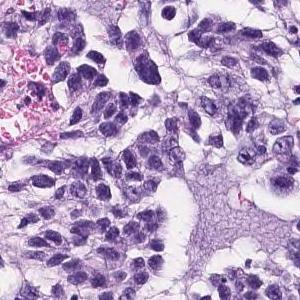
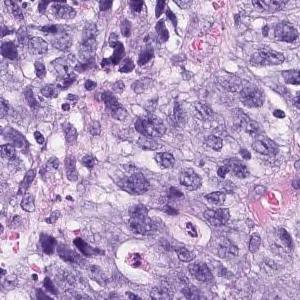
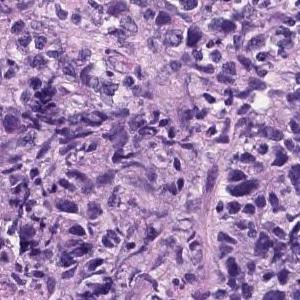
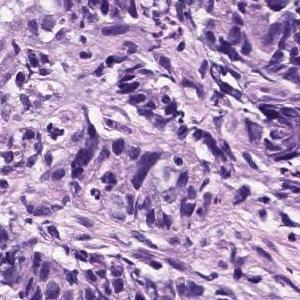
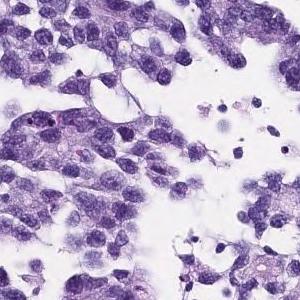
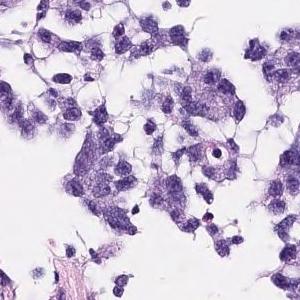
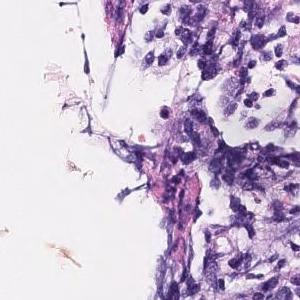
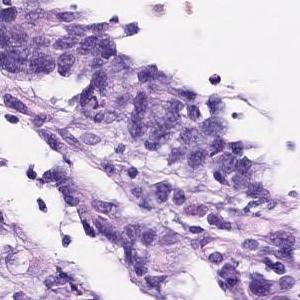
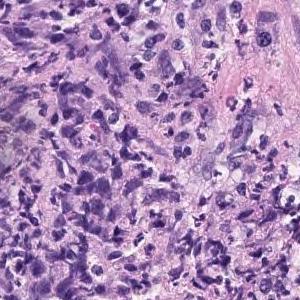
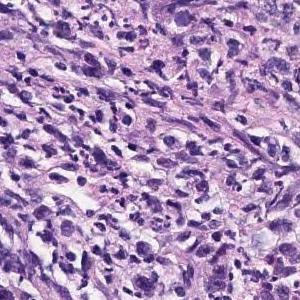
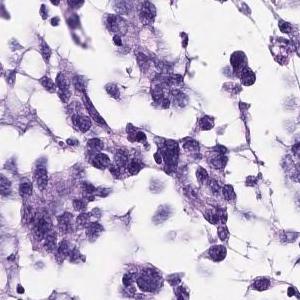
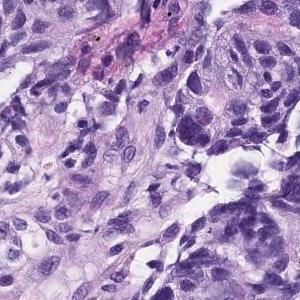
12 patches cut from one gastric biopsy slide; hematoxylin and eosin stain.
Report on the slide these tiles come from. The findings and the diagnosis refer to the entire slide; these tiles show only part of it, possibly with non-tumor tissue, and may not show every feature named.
The superficial epithelium shows a large sheet-like shape, and some tumor tissue infiltrates with small irregular ducts. Poorly differentiated adenocarcinoma, solid-type
Histological subtype: Poorly differentiated adenocarcinoma, solid type (Japanese Classification of Gastric Carcinoma). The WHO 2019 equivalent is tubular adenocarcinoma, poorly differentiated.
